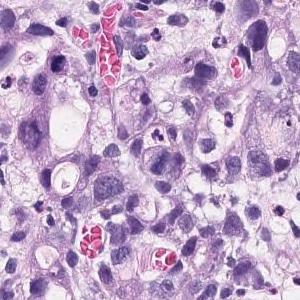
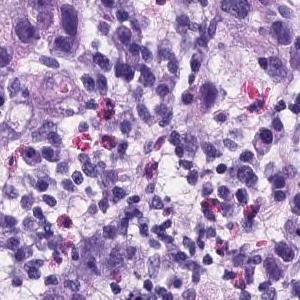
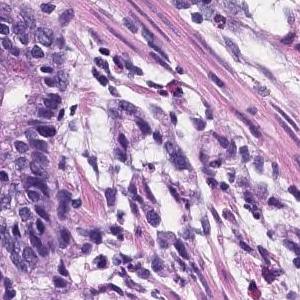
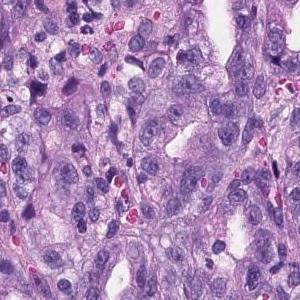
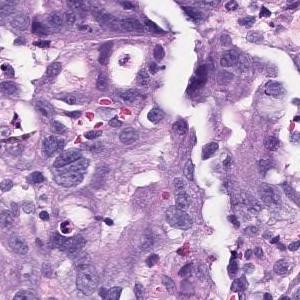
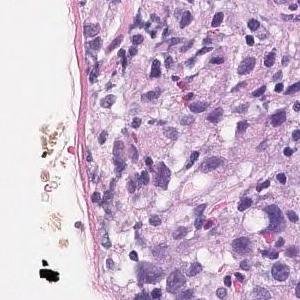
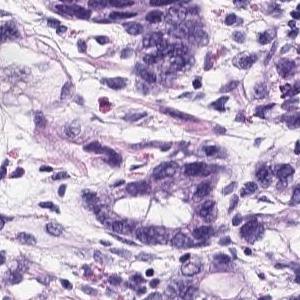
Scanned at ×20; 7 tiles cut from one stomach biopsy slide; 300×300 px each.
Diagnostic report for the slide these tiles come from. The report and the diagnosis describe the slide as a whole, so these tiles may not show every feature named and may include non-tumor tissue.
There are atypical l cells with atypical nuclei forming cord-like or irregular atypical ducts from solidity and proliferating in a comprehensive manner. Poorly differentiated adenocarcinoma, Moderately differentiated adenocarcinoma (poorly differentiated adenocarcinoma, solid type moderately differentiated tubular adenocarcinoma)
Histological subtype: Moderately to poorly differentiated adenocarcinoma.
"Solid type" is a category of the Japanese Classification of Gastric Carcinoma; in the WHO 2019 classification it is tubular adenocarcinoma, poorly differentiated.
